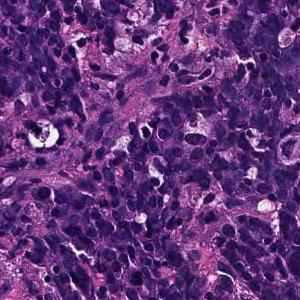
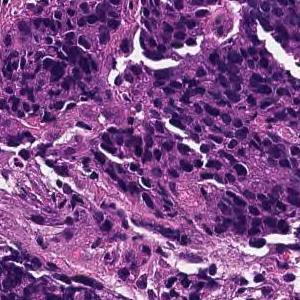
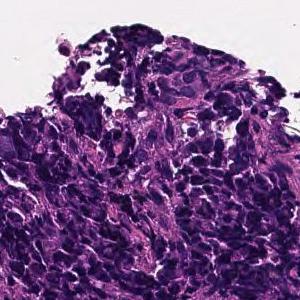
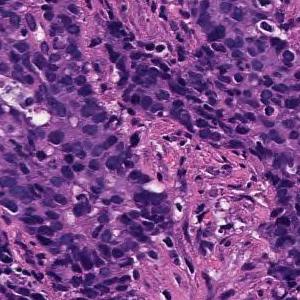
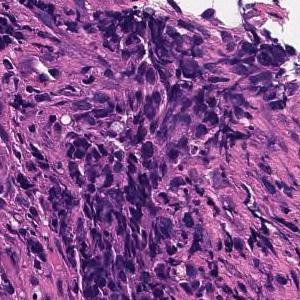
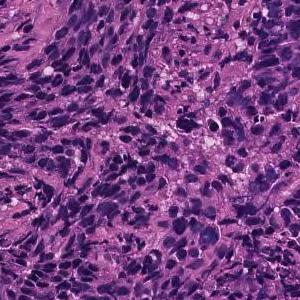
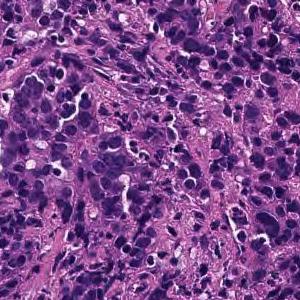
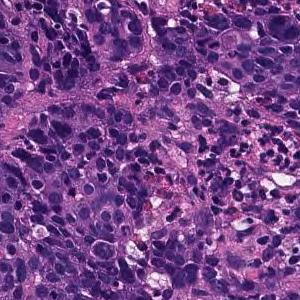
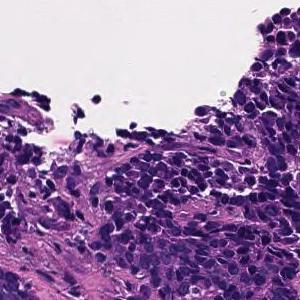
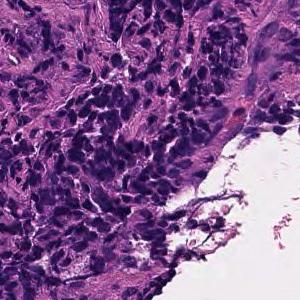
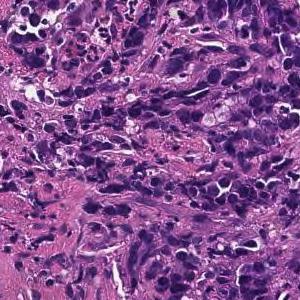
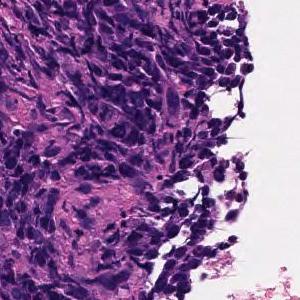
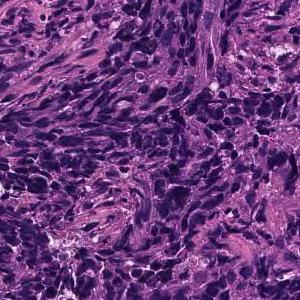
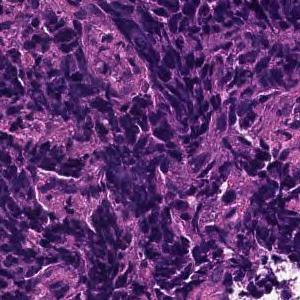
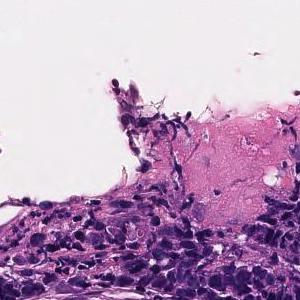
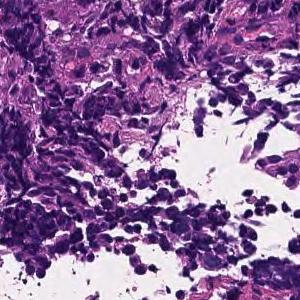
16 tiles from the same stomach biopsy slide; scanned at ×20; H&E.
Report on the slide these tiles come from. The report and the diagnosis cover the entire slide, so not every feature they name need be visible here, and some tissue shown may not be tumor.
Tumor tissue consisting of cord-like or small, irregular glandular ducts fused and infiltrated is observed in the superficial epithelium. Poorly differentiated adenocarcinoma, non-solid type
The term "non-solid type" comes from the Japanese Classification of Gastric Carcinoma.
